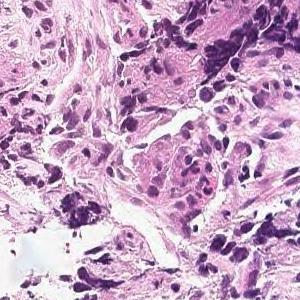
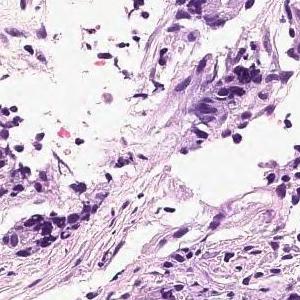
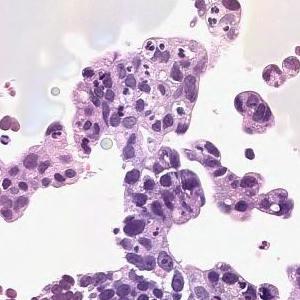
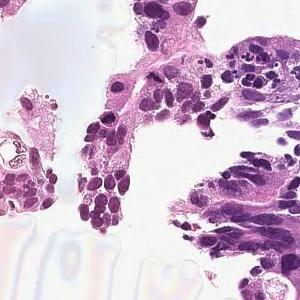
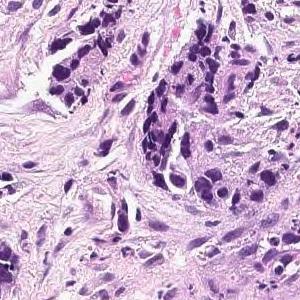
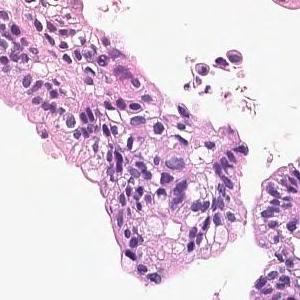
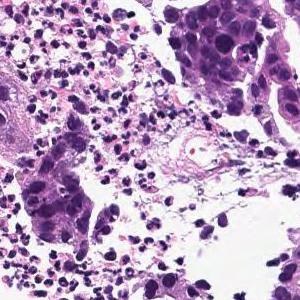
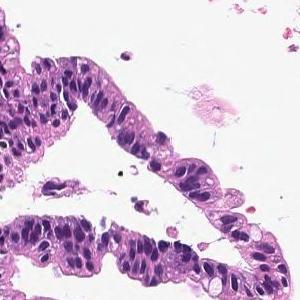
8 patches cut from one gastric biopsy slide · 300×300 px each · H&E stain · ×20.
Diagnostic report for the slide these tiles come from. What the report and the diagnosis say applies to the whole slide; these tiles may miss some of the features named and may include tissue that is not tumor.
In the superficial epithelium, tumor tissue that invades by forming medium-sized to small, irregular ducts is observed. moderately differentiated tubular adenocarcinoma.
